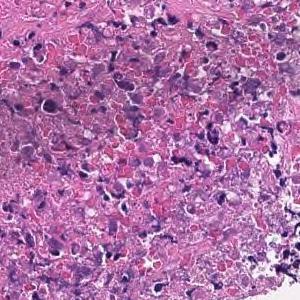
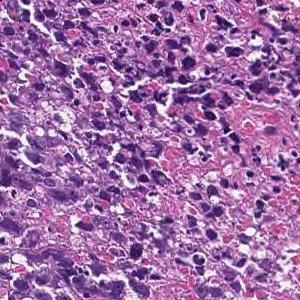
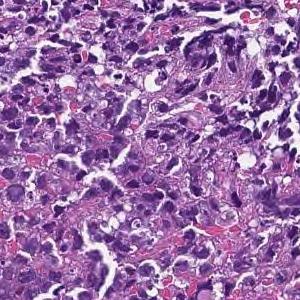
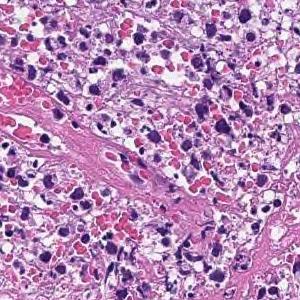
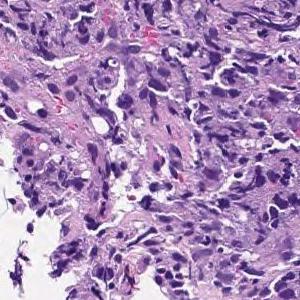
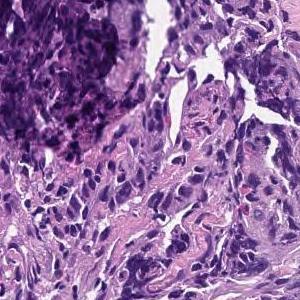
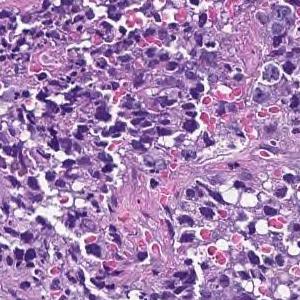
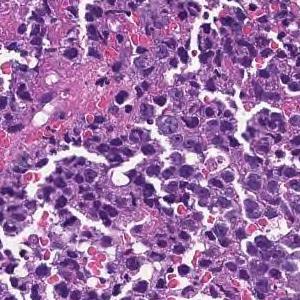
H&E · scanned at ×20 · 8 tiles cut from one stomach biopsy slide · 300 × 300 pixels each.
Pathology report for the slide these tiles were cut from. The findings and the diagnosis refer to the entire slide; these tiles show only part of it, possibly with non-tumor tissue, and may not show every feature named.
Most are composed of coagulative necrotic tissue, but some show a large sheet-like shape, and some show tumor tissue infiltrating with a small cord-like structure. Poorly differentiated adenocarcinoma, solid-type
Tumor subtype: poorly differentiated adenocarcinoma, solid type (Japanese Classification of Gastric Carcinoma). The WHO 2019 equivalent is tubular adenocarcinoma, poorly differentiated.
